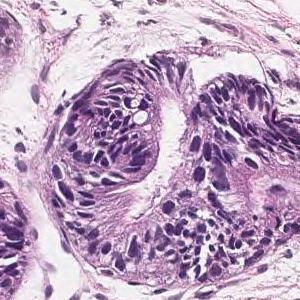
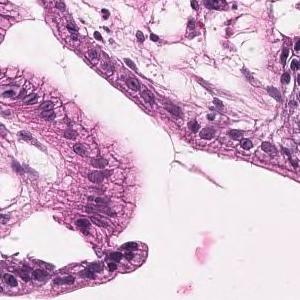
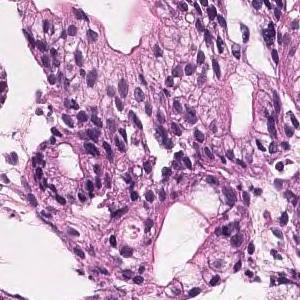
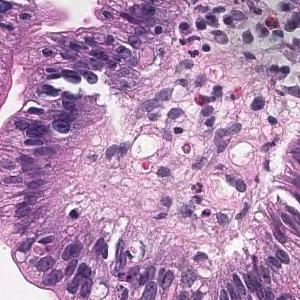
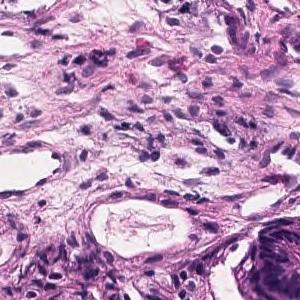
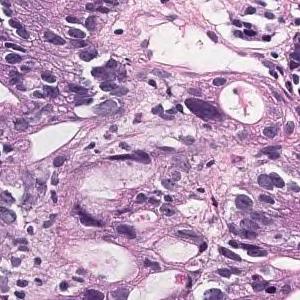
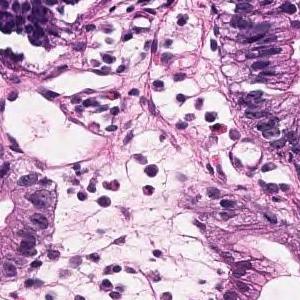
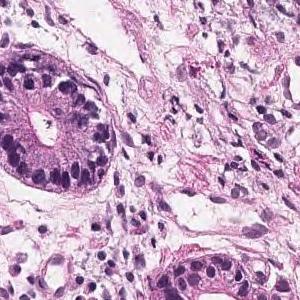
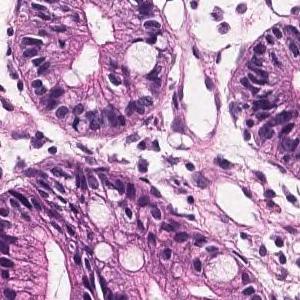
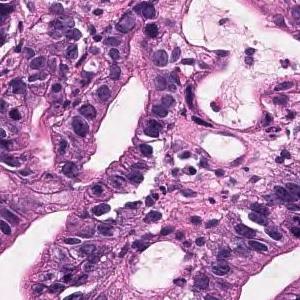
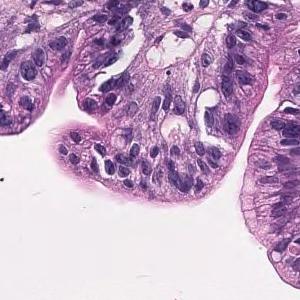
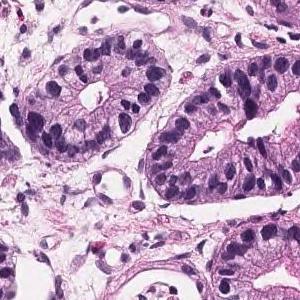
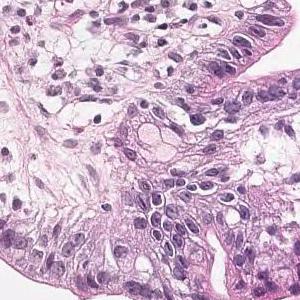
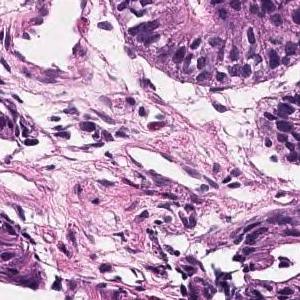
Scanned at ×20, H&E stain, 14 tiles from the same stomach biopsy slide.
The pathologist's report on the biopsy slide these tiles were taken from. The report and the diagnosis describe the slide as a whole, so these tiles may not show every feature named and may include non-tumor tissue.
Tumor tissue in which medium to small irregular ducts infiltrate and proliferate in the submucosa can be seen in the epithelium. Well differentiated tubular adenocarcinoma
